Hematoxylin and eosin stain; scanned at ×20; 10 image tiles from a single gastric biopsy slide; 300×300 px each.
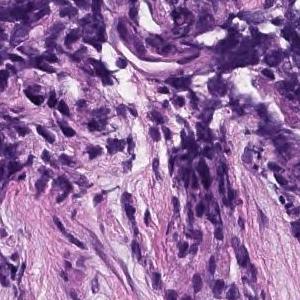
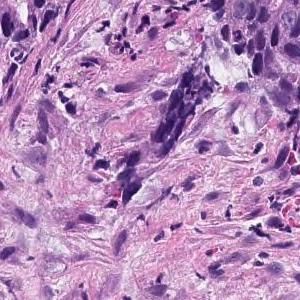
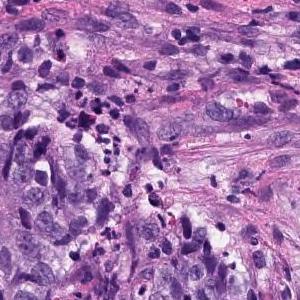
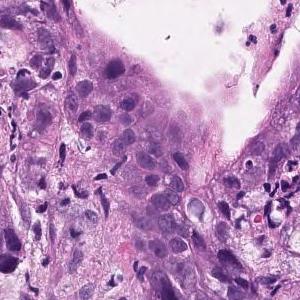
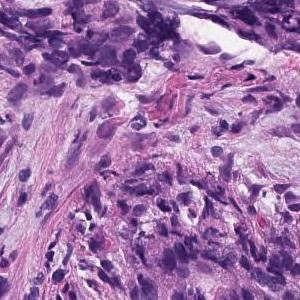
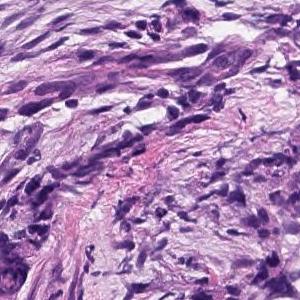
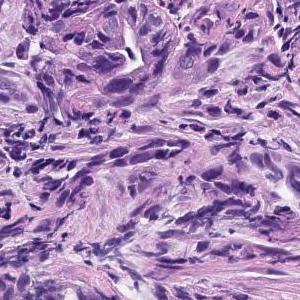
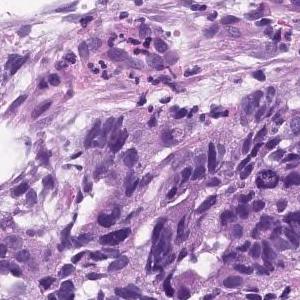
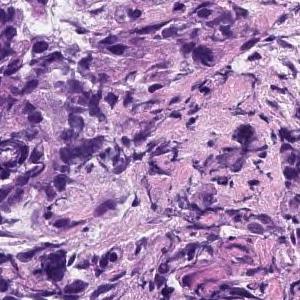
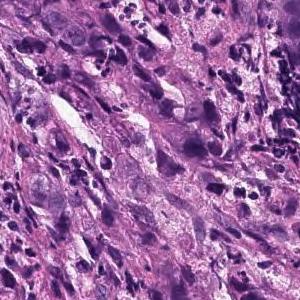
Diagnostic report for the slide these tiles come from. The report describes the whole slide, diagnosis included: not every finding it names need appear in these tiles, which may also show non-tumor tissue.
Medium to small, irregular glandular ducts are formed in the superficial epithelium, and in some cases, the glandular ducts are fused to show solid alveolar lesions and infiltrating tumor tissue is observed. Moderately to poorly differentiated adenocarcinoma.
